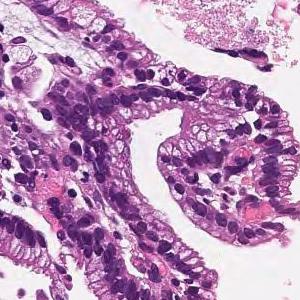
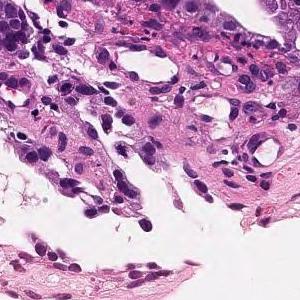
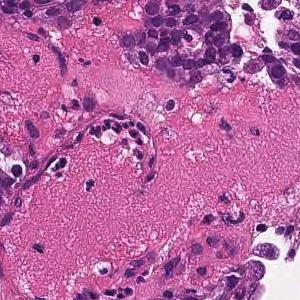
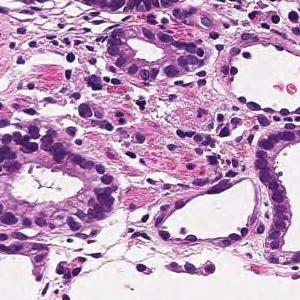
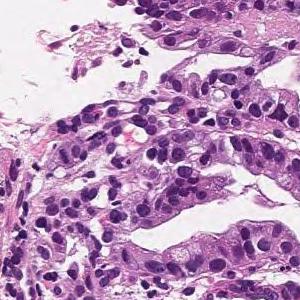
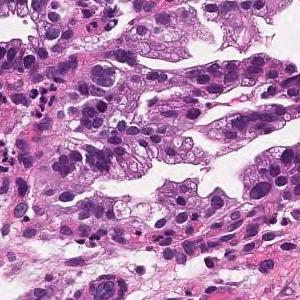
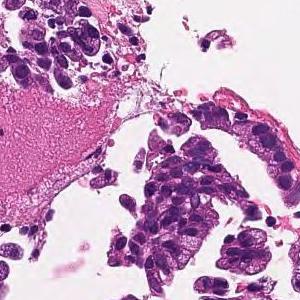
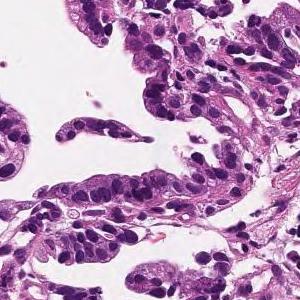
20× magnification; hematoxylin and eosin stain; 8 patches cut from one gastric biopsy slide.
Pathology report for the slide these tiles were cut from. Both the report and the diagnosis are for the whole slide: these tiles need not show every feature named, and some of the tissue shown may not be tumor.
On the superficial epithelium, tumor tissue that infiltrates by forming medium-sized papillary or small irregular ducts is observed. Papillary adenocarcinoma
